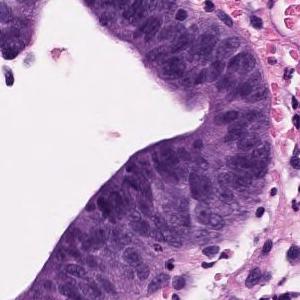
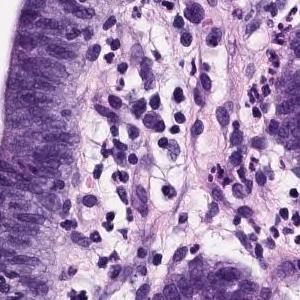
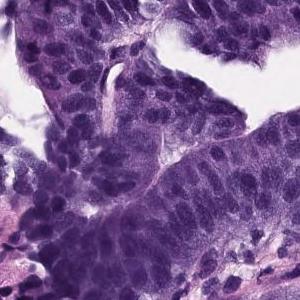
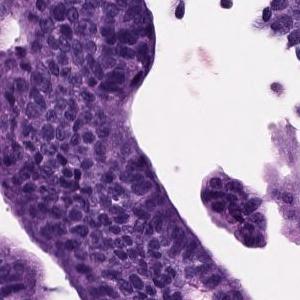
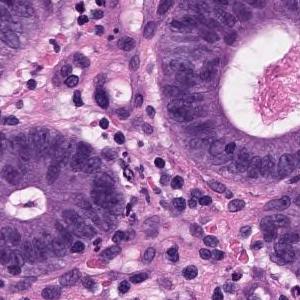
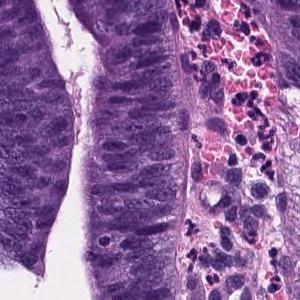
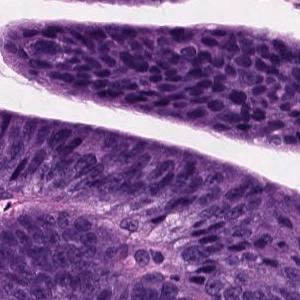
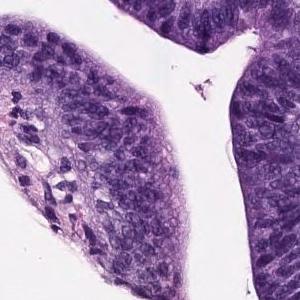
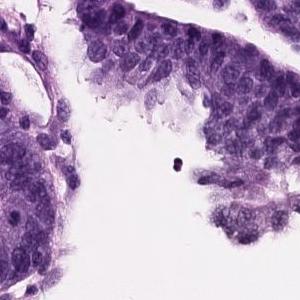
9 tiles from the same stomach biopsy slide; 300×300 px each; H&E.
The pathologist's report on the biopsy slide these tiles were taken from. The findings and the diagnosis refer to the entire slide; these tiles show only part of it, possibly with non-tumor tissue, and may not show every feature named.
Papillo-tubular growth of atypical tubules with nuclear swelling is observed. Well differentiated tubular adenocarcinoma
